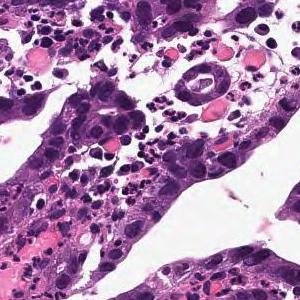
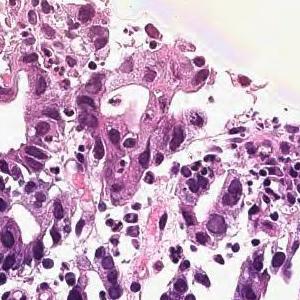
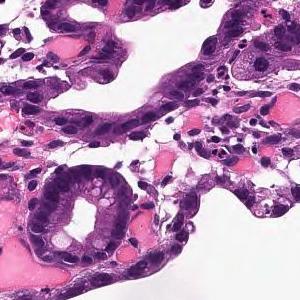
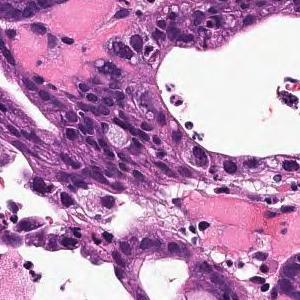
4 patches cut from one gastric biopsy slide · 300×300 px each · H&E stain.
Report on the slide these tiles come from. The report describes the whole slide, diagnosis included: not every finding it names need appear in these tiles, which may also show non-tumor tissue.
On the superficial epithelium, a tumor tissue consisting of a large, irregular glandular duct partially fused and infiltrating with a small alveolar shape is observed. Well or moderately differentiated tubular adenocarcinoma (well differentiated tubular adenocarcinoma, moderately differentiated tubular adenocarcinoma)
Tumor subtype: well to moderately differentiated tubular adenocarcinoma.
